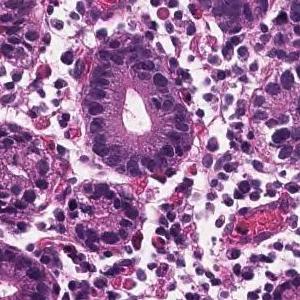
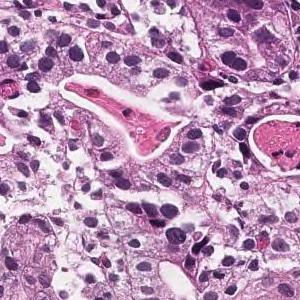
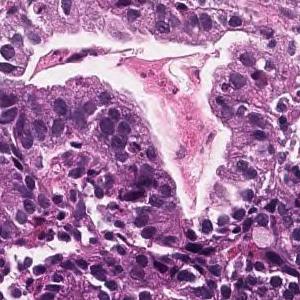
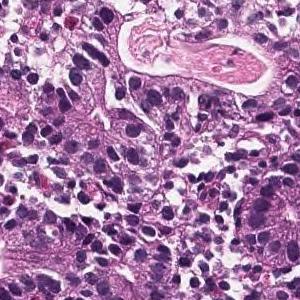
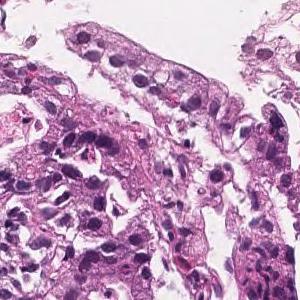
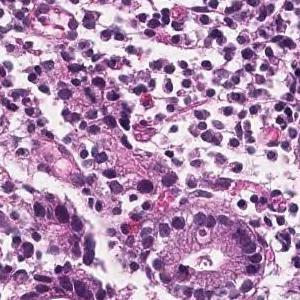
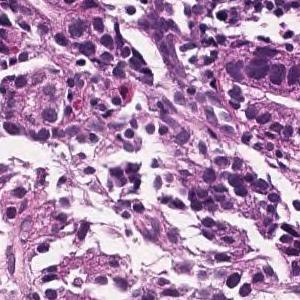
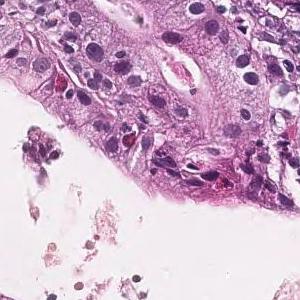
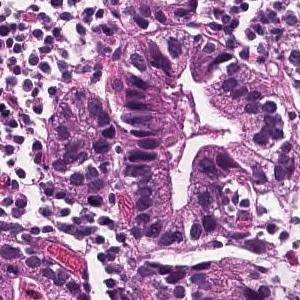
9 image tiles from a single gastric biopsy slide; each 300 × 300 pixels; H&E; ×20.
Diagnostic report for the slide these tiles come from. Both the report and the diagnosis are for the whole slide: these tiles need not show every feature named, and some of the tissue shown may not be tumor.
Tumor tissue that forms medium-sized, irregular glandular ducts and is papillary and proliferate is observed confined to the mucosal epithelium. moderately differentiated tubular adenocarcinoma.
